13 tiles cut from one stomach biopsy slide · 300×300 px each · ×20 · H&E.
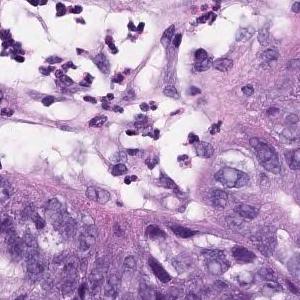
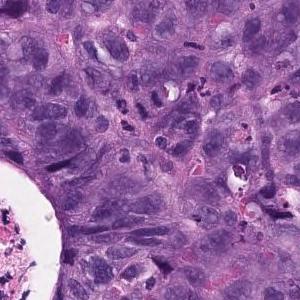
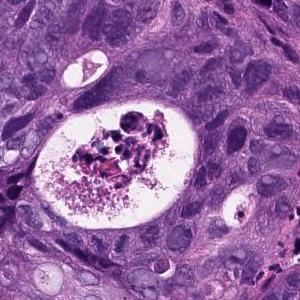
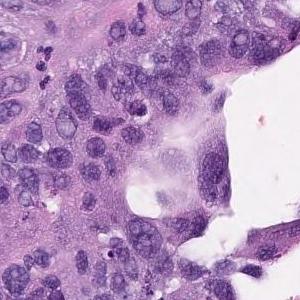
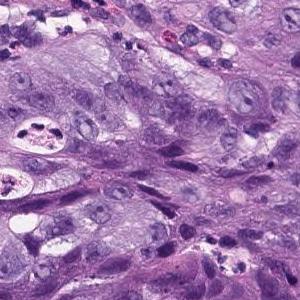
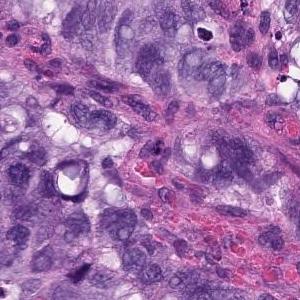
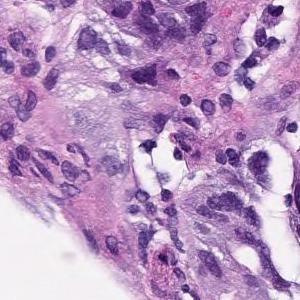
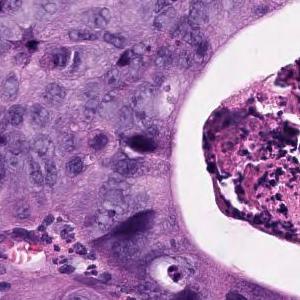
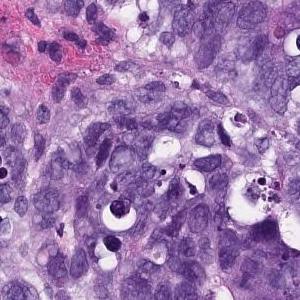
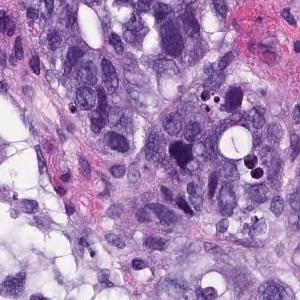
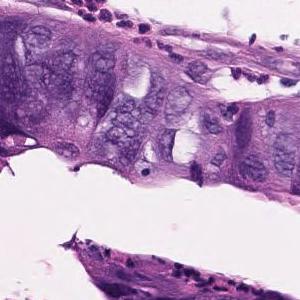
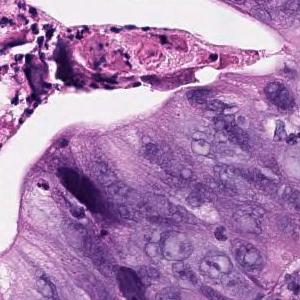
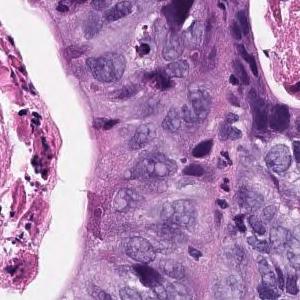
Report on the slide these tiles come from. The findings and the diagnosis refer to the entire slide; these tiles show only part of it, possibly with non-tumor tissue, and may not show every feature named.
In the superficial epithelium, tumor tissue that invades by forming medium-sized to small, irregular ducts is observed. Moderately differentiated adenocarcinoma.
Tumor subtype: moderately differentiated tubular adenocarcinoma.
